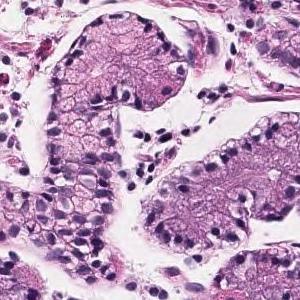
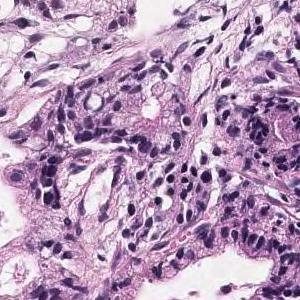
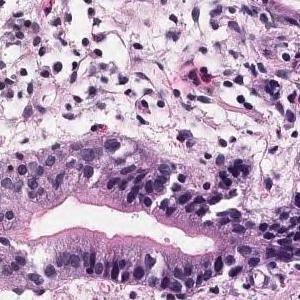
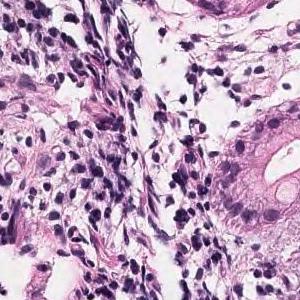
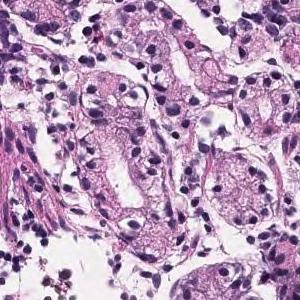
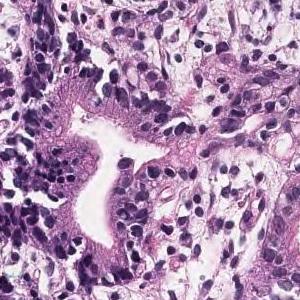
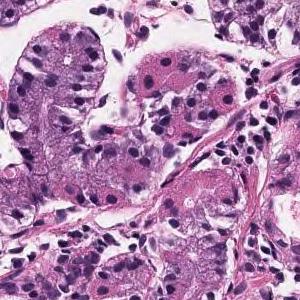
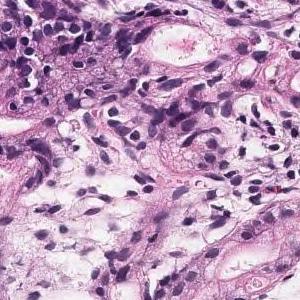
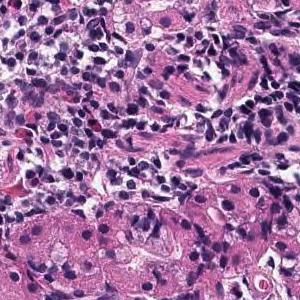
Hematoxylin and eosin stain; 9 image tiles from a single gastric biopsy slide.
Pathology report for the slide these tiles were cut from. The report describes the whole slide, diagnosis included: not every finding it names need appear in these tiles, which may also show non-tumor tissue.
Tumor tissue that grows and grows is observed, showing a medium-sized round or irregular duct. moderately differentiated tubular adenocarcinoma
